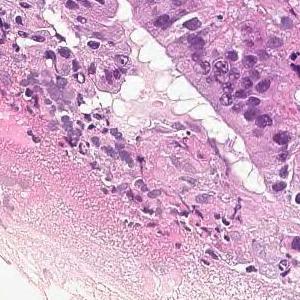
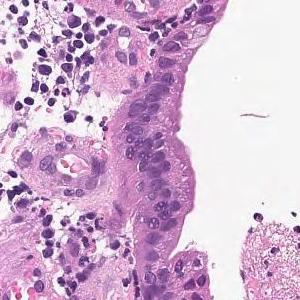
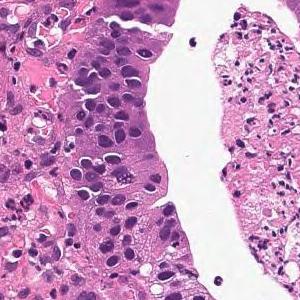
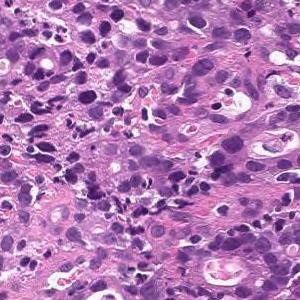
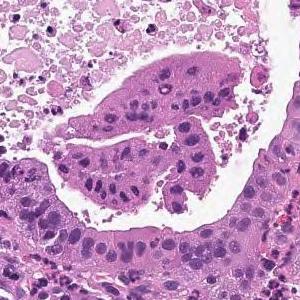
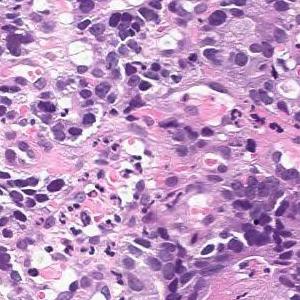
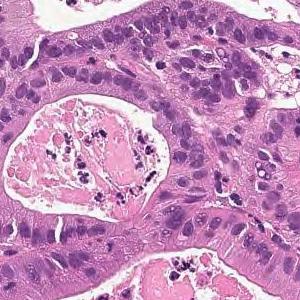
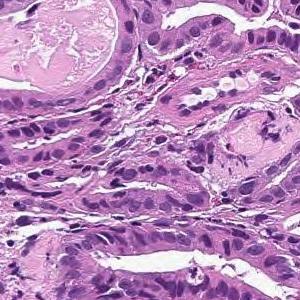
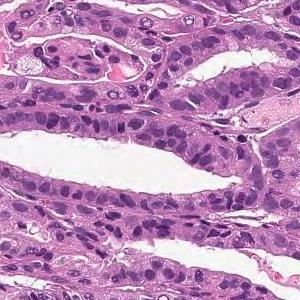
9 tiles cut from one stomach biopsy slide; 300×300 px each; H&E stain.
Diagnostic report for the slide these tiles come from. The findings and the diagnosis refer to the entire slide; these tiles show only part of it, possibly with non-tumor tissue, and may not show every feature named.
From the superficial epithelium to the muscularis mucosae, tumor tissue consisting of medium-sized and irregular glandular ducts infiltrating is observed. Well differentiated tubular adenocarcinoma
